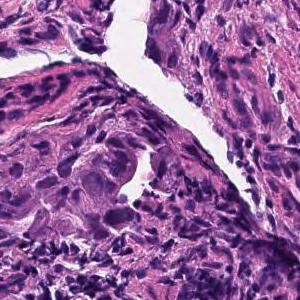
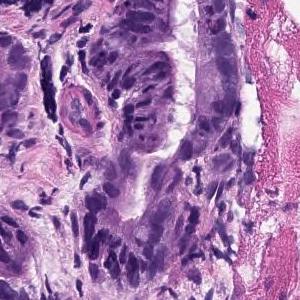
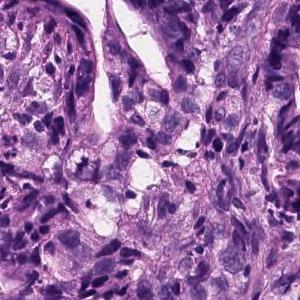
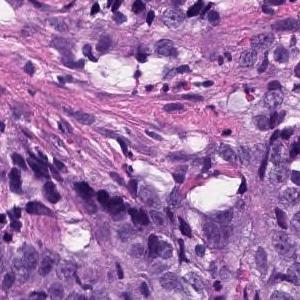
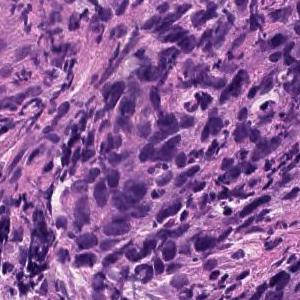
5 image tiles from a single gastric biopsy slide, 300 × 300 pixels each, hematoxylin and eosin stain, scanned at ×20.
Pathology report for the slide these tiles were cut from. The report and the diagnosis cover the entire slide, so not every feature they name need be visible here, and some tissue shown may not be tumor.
Medium to small, irregular glandular ducts are formed in the superficial epithelium, and in some cases, the glandular ducts are fused to show solid alveolar lesions and infiltrating tumor tissue is observed. Moderately to poorly differentiated adenocarcinoma.
